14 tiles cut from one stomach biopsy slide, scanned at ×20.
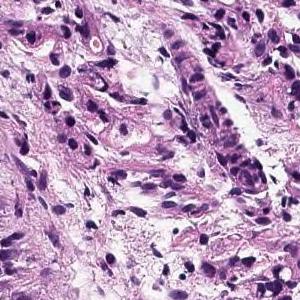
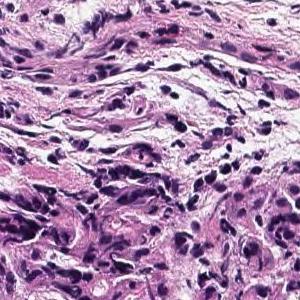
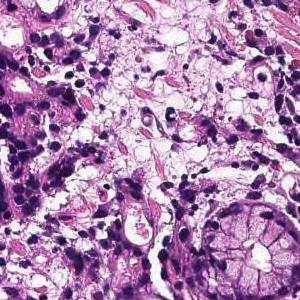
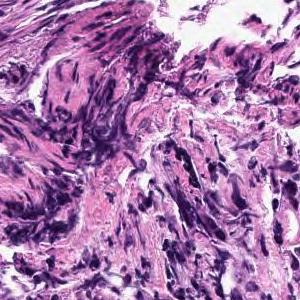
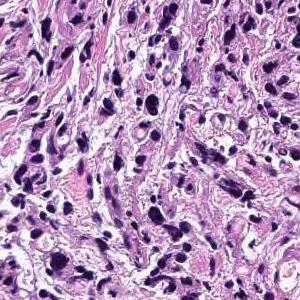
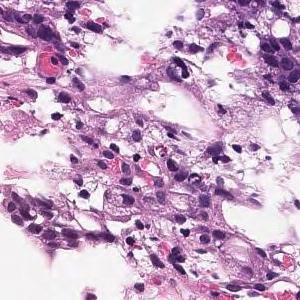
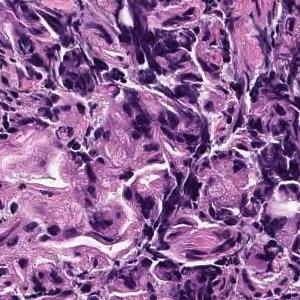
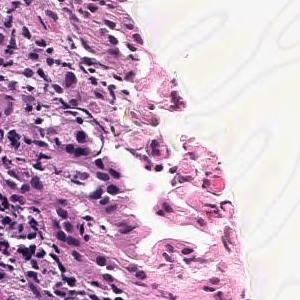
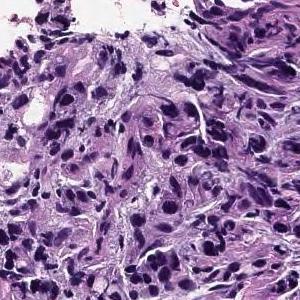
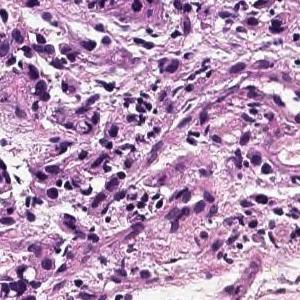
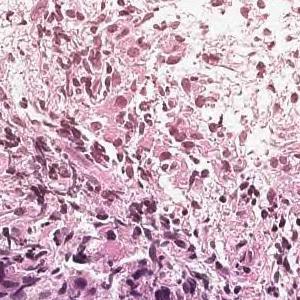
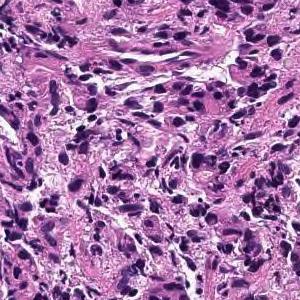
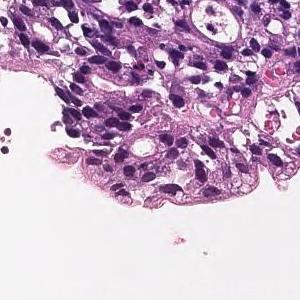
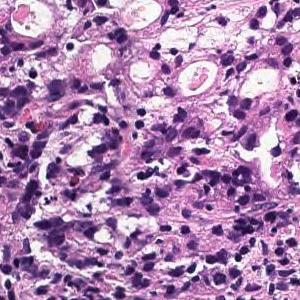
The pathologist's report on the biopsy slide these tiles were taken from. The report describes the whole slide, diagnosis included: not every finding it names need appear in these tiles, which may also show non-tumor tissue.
Tumor tissue consisting of cord-like or small, irregular glandular ducts fused and infiltrated is observed in the superficial epithelium. Poorly differentiated adenocarcinoma, non-solid type
"Non-solid type" is a category of the Japanese Classification of Gastric Carcinoma.
